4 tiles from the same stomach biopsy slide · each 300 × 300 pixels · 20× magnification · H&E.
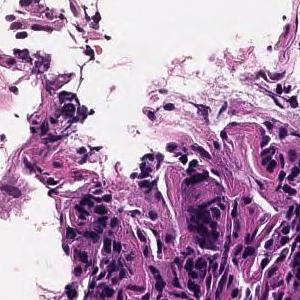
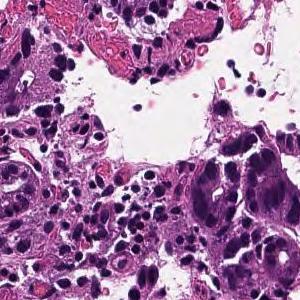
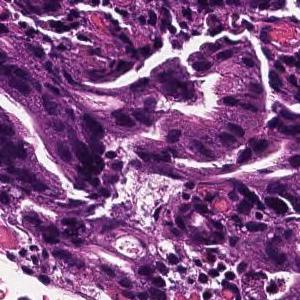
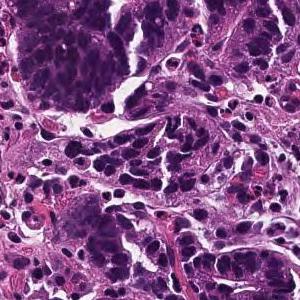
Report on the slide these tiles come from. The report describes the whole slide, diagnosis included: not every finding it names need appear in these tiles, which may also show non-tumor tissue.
In the superficial epithelium, tumor tissue that invades by forming medium-sized to small, irregular ducts is observed. moderately differentiated tubular adenocarcinoma.
